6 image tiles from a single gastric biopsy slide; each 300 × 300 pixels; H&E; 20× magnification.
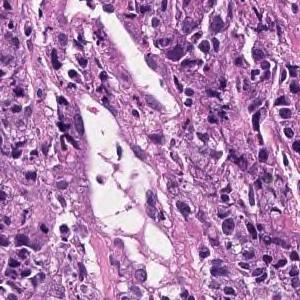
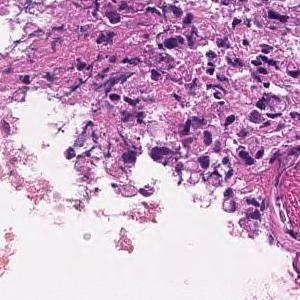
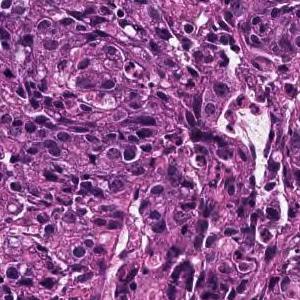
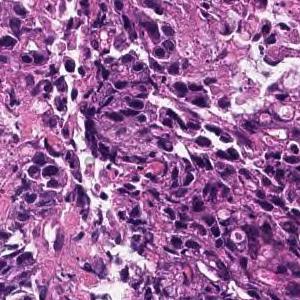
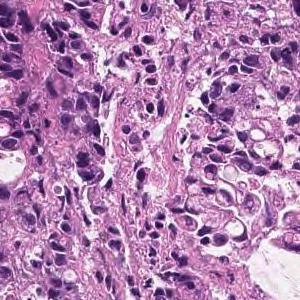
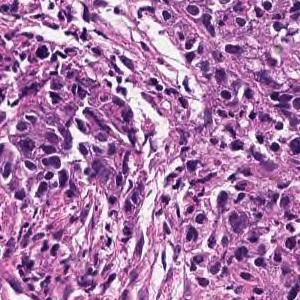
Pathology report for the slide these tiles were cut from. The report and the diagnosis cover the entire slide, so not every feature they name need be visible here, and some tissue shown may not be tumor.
Medium to small, irregular glandular ducts are formed in the superficial epithelium, and in some cases, the glandular ducts are fused to show solid alveolar lesions and infiltrating tumor tissue is observed. Moderately to poorly differentiated adenocarcinoma.
